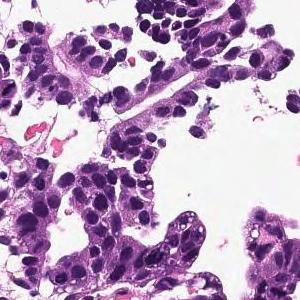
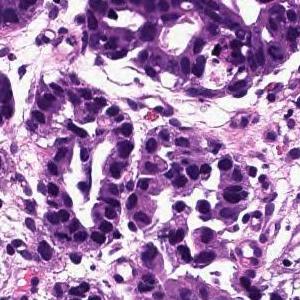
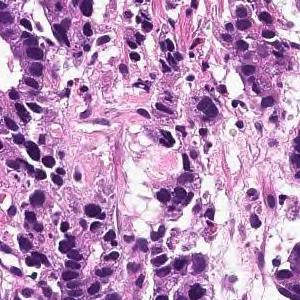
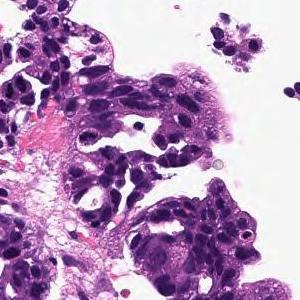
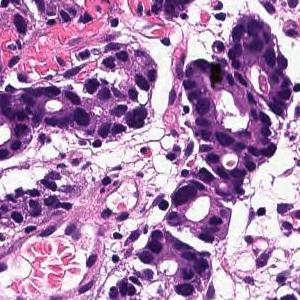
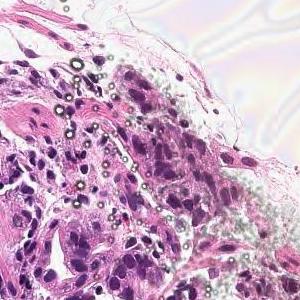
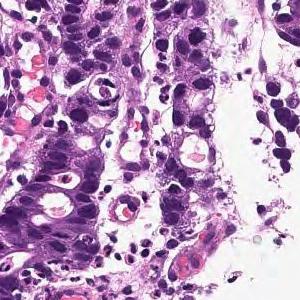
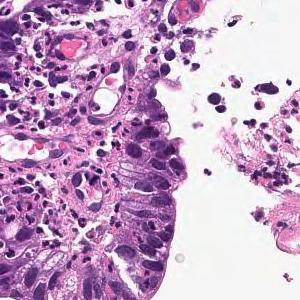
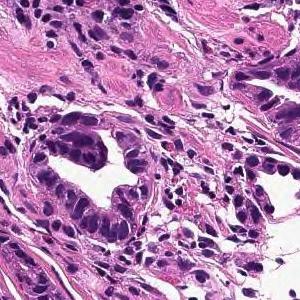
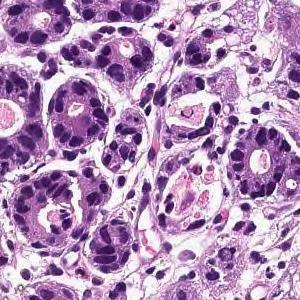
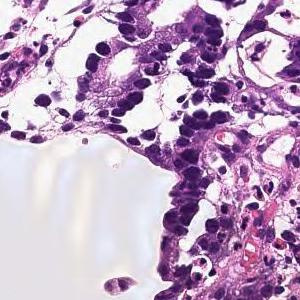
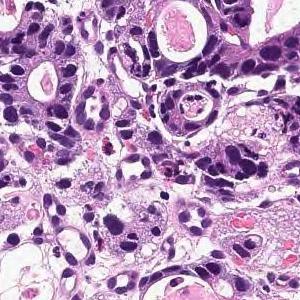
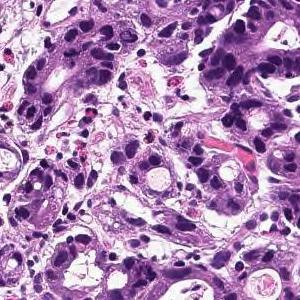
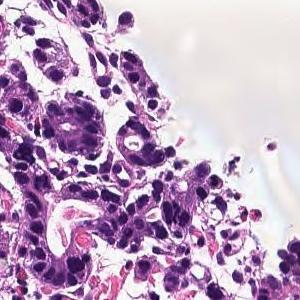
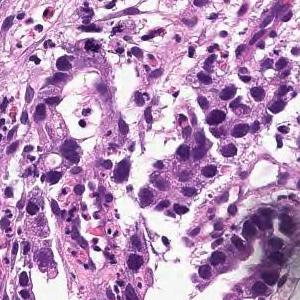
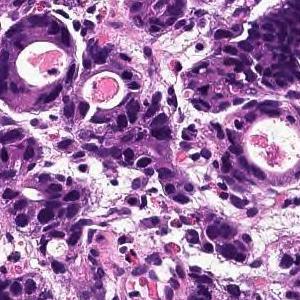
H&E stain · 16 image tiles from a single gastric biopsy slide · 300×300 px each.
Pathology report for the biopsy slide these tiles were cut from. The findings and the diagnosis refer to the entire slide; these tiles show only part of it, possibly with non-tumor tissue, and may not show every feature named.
In the superficial epithelium, tumor tissue that invades by forming medium-sized to small, irregular ducts is observed. moderately differentiated tubular adenocarcinoma.
